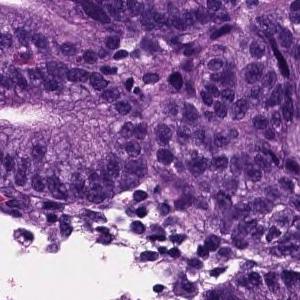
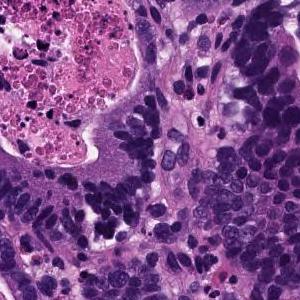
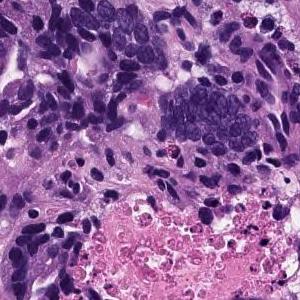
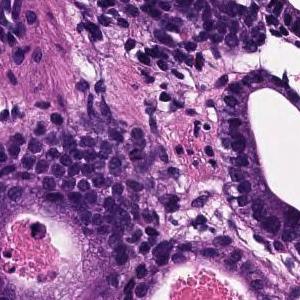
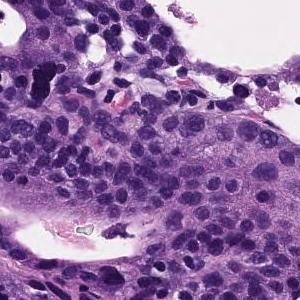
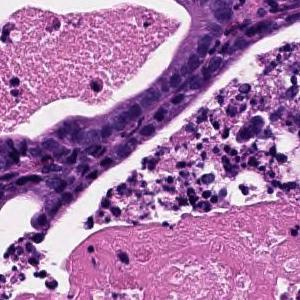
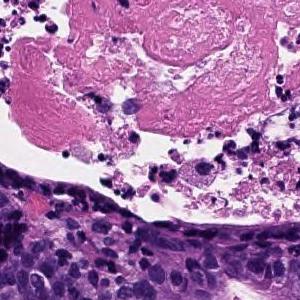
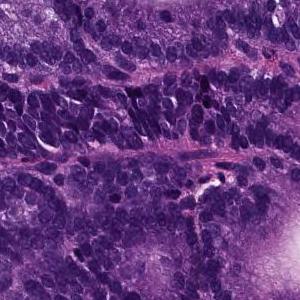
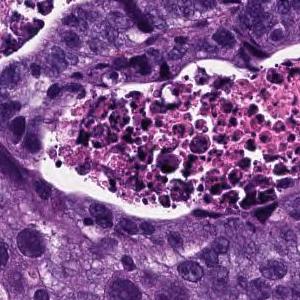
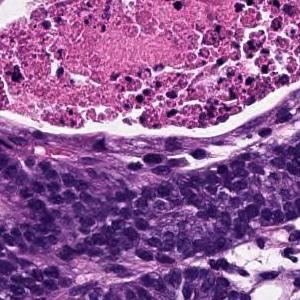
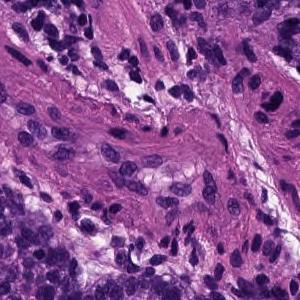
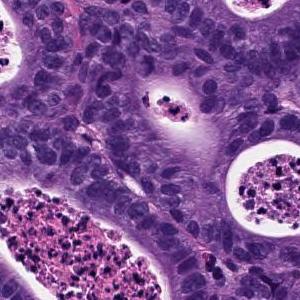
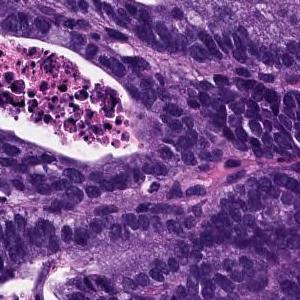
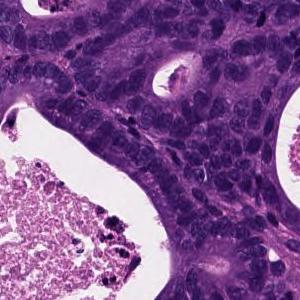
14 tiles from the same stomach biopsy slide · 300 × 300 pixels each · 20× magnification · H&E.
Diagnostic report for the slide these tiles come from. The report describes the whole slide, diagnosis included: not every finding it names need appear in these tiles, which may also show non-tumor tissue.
From the superficial epithelium to the muscularis mucosae, tumor tissue consisting of medium-sized and irregular glandular ducts infiltrating is observed. Well differentiated tubular adenocarcinoma
